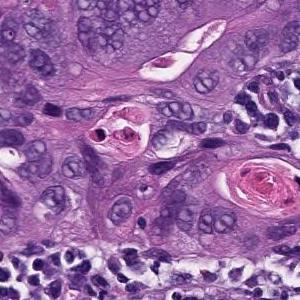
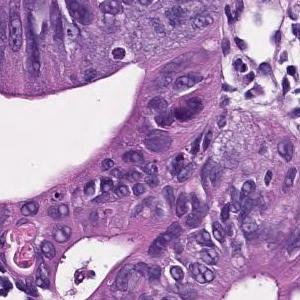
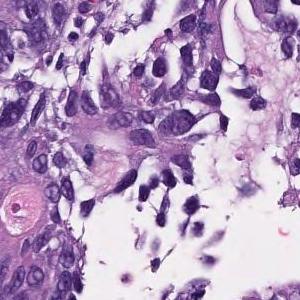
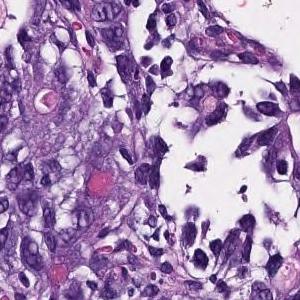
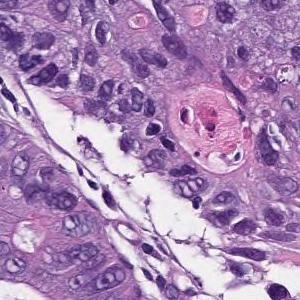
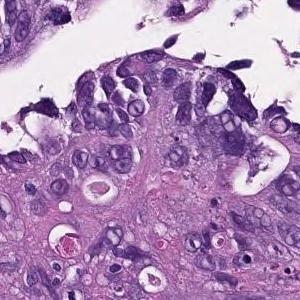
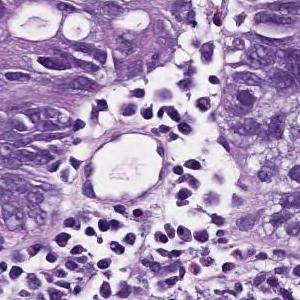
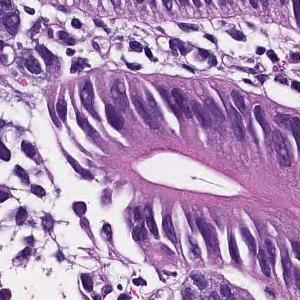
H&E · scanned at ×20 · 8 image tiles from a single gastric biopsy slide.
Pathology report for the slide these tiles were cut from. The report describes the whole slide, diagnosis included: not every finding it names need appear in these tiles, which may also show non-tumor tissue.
In the superficial epithelium, tumor tissue that invades by forming medium-sized to small, irregular ducts is observed. moderately differentiated tubular adenocarcinoma.
